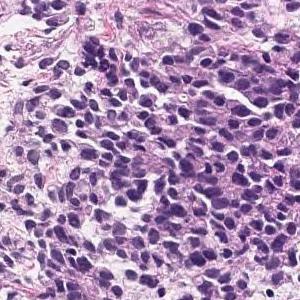
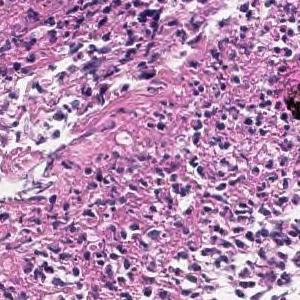
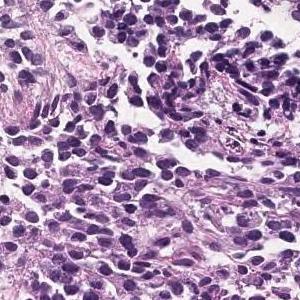
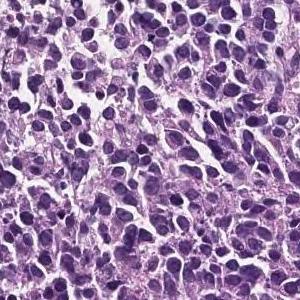
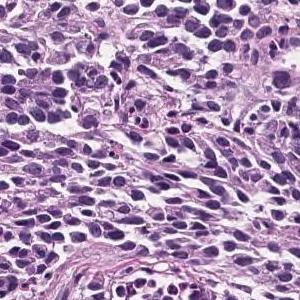
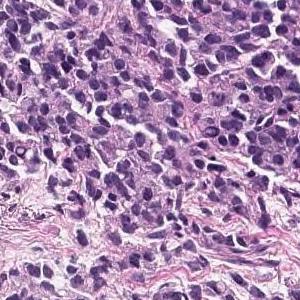
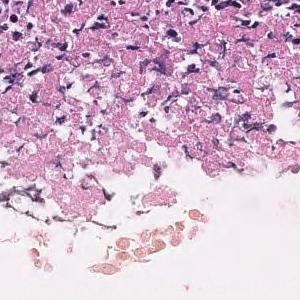
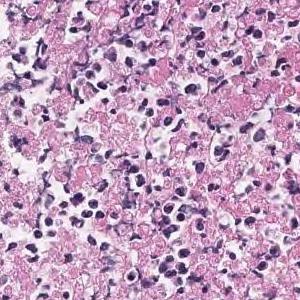
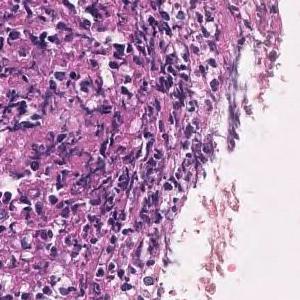
Scanned at ×20; H&E stain; 9 image tiles from a single gastric biopsy slide; 300×300 px each.
Pathology report for the slide these tiles were cut from. The report describes the whole slide, diagnosis included: not every finding it names need appear in these tiles, which may also show non-tumor tissue.
The superficial epithelium shows a large sheet-like shape, and some tumor tissue infiltrates with small irregular ducts. Poorly differentiated adenocarcinoma, solid-type
Tumor subtype: poorly differentiated adenocarcinoma, solid type. This name comes from the Japanese Classification of Gastric Carcinoma; the WHO 2019 classification calls it tubular adenocarcinoma, poorly differentiated.
